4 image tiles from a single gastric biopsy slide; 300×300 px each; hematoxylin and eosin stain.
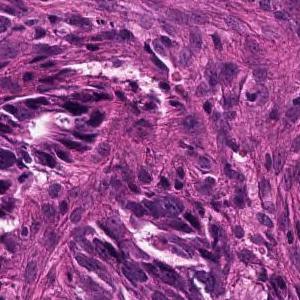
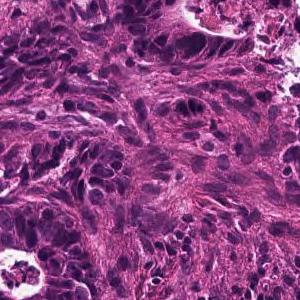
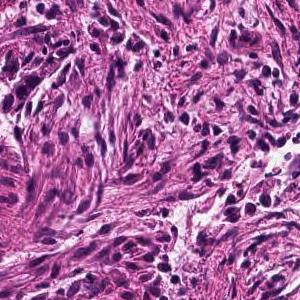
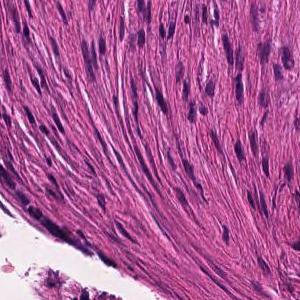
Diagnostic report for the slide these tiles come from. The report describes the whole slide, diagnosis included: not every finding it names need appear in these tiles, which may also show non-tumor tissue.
In the superficial epithelium, tumor tissue that invades by forming medium-sized to small, irregular ducts is observed. moderately differentiated tubular adenocarcinoma.
